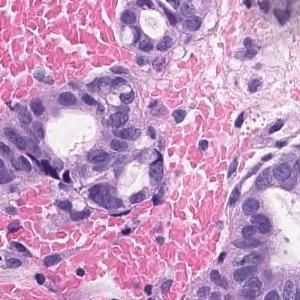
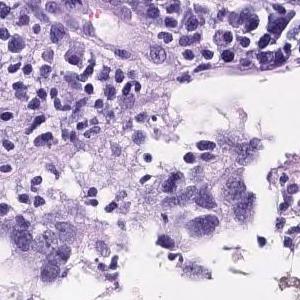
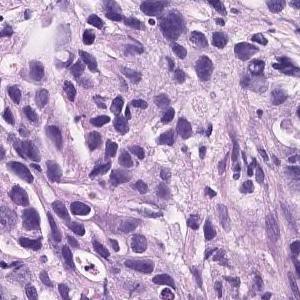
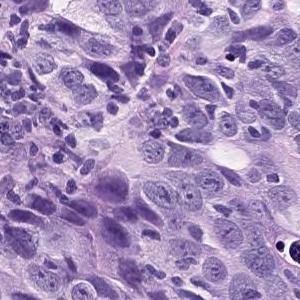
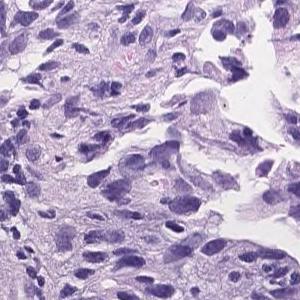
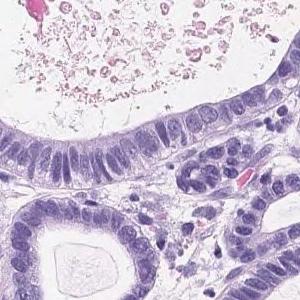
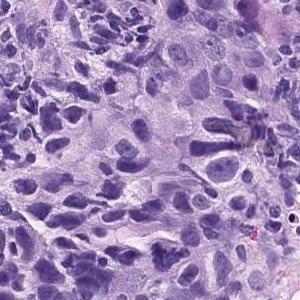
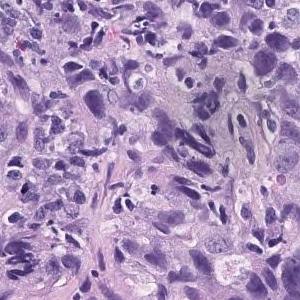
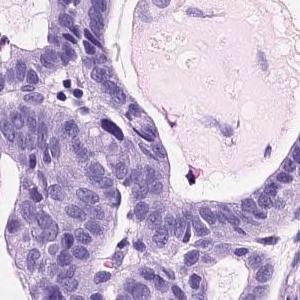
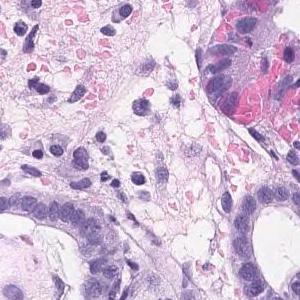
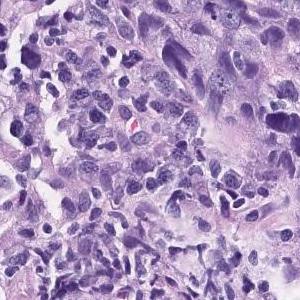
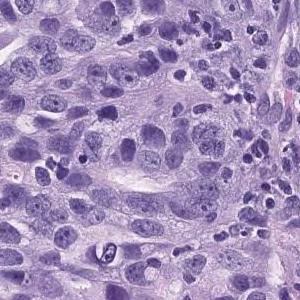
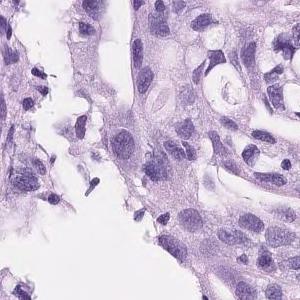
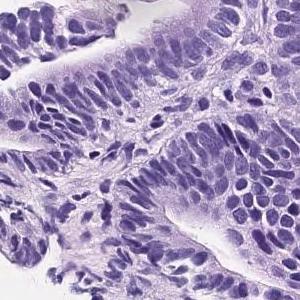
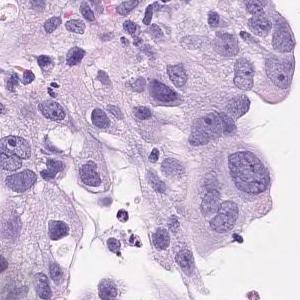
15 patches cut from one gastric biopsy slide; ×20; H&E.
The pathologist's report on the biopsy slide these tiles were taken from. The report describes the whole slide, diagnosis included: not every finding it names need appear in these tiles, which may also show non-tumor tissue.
The superficial epithelium shows a large sheet-like shape, and some tumor tissue infiltrates with small irregular ducts. Poorly differentiated adenocarcinoma, solid-type
Classified as poorly differentiated adenocarcinoma, solid type, a category of the Japanese Classification of Gastric Carcinoma; in the WHO 2019 classification it is tubular adenocarcinoma, poorly differentiated.
